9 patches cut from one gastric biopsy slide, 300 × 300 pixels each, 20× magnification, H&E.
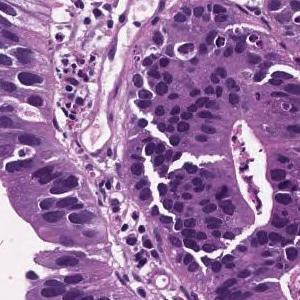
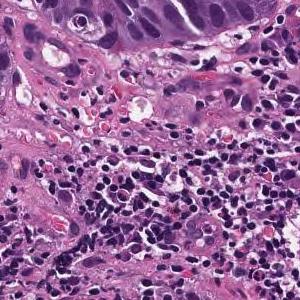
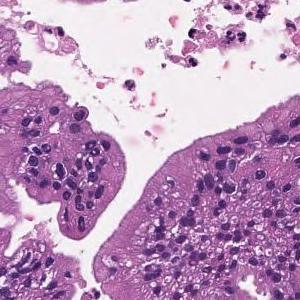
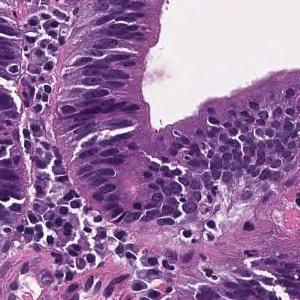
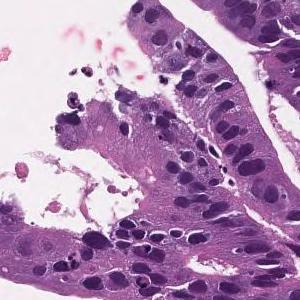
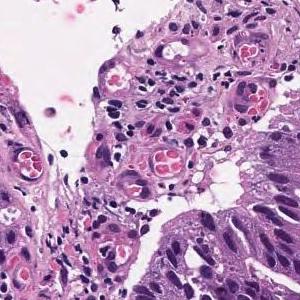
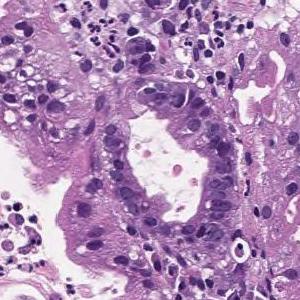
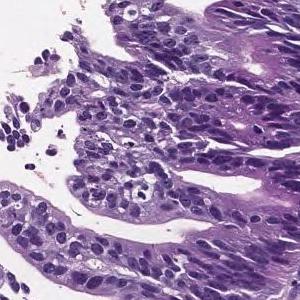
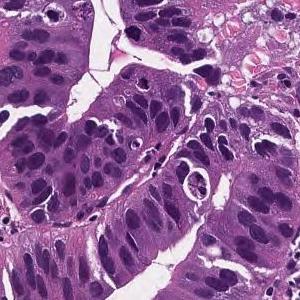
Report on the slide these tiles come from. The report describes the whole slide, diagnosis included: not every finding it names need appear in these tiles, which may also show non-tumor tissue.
Tumor cells are large, highly columnar, large club-shaped nuclei, and are associated with chromatin aggregation. Papillary adenocarcinoma.
